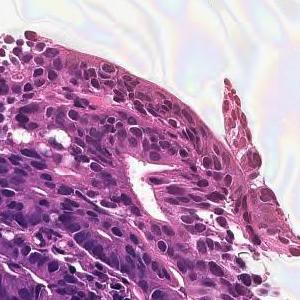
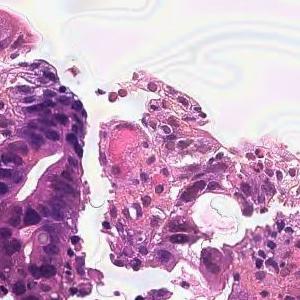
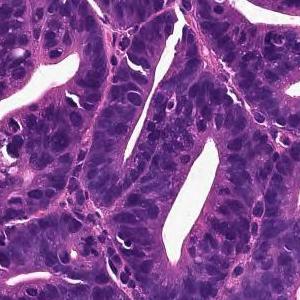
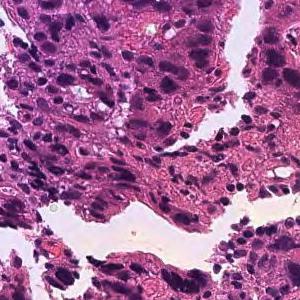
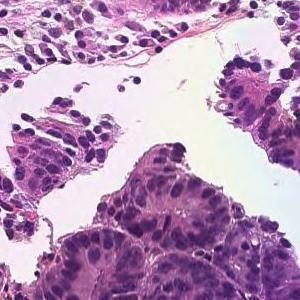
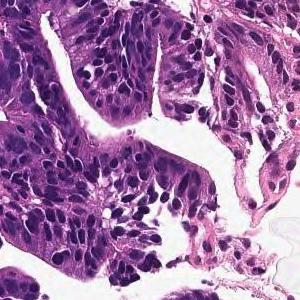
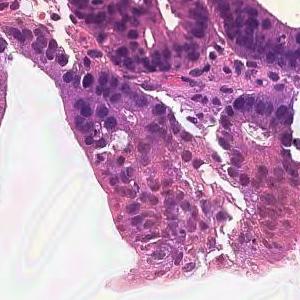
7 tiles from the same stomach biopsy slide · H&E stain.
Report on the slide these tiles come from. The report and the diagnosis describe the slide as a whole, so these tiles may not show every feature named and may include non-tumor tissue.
On the superficial epithelium, tumor tissue consisting of large irregular glandular ducts partially fused and infiltrated is observed. Well to moderately differentiated tubular adenocarcinoma (well differentiated tubular adenocarcinoma, moderately differentiated tubular adenocarcinoma)
Classified as well to moderately differentiated tubular adenocarcinoma.
